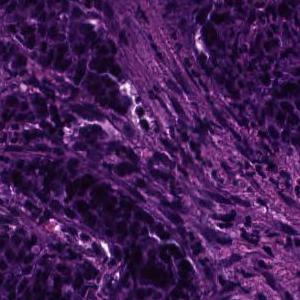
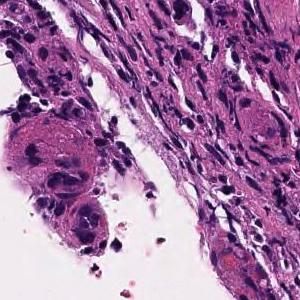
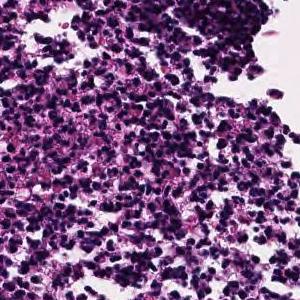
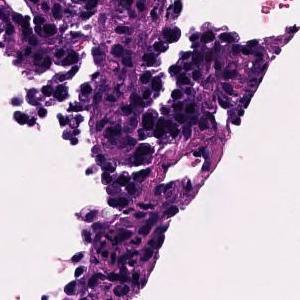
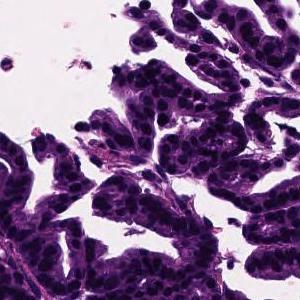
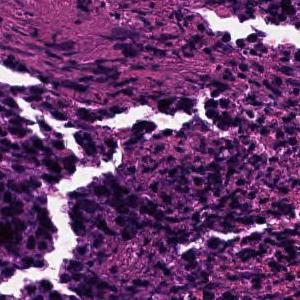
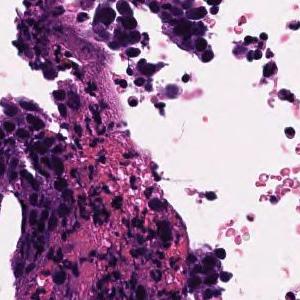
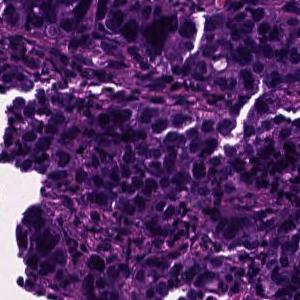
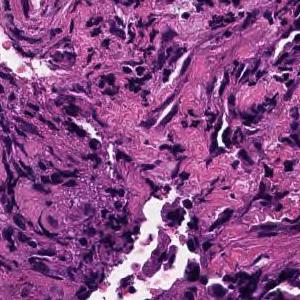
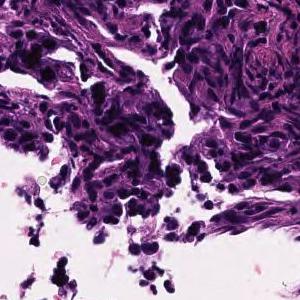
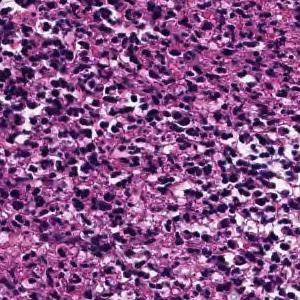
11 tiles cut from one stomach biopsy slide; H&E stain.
Diagnostic report for the slide these tiles come from. The report describes the whole slide, diagnosis included: not every finding it names need appear in these tiles, which may also show non-tumor tissue.
In the superficial epithelium, tumor tissue that invades by forming medium-sized to small, irregular ducts is observed. moderately differentiated tubular adenocarcinoma.
